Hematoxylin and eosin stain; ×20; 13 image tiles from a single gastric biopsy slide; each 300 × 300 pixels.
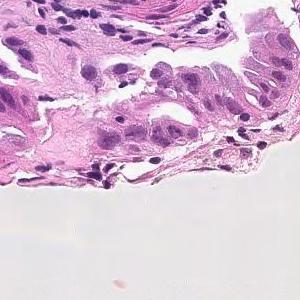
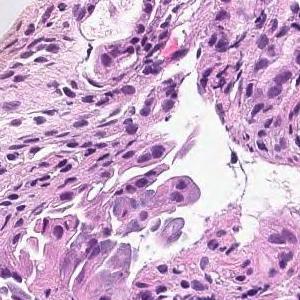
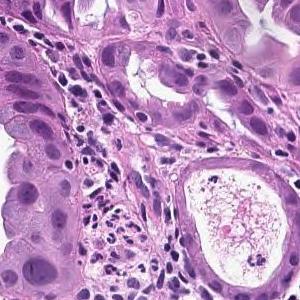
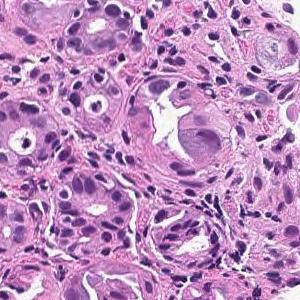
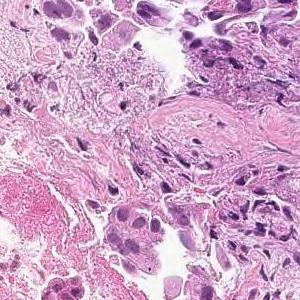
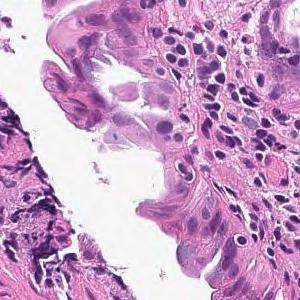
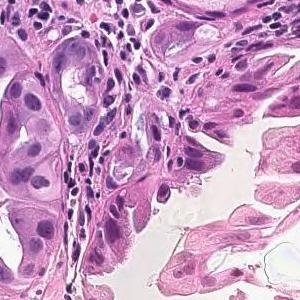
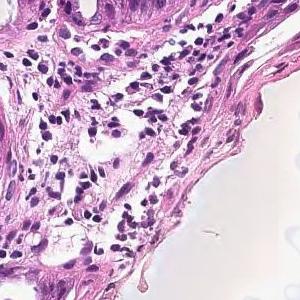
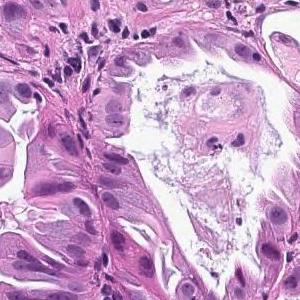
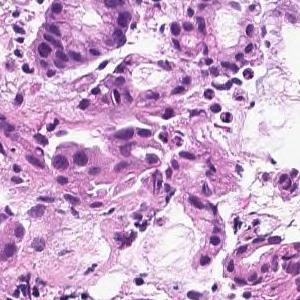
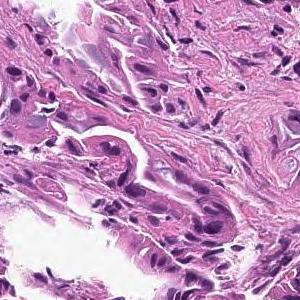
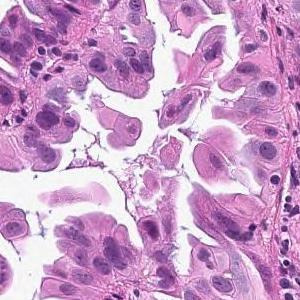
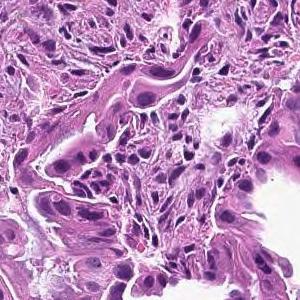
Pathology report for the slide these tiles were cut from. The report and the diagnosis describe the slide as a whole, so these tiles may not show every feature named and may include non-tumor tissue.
From the superficial epithelium to the muscularis mucosae, tumor tissue consisting of medium-sized and irregular glandular ducts infiltrating is observed. Well differentiated tubular adenocarcinoma
